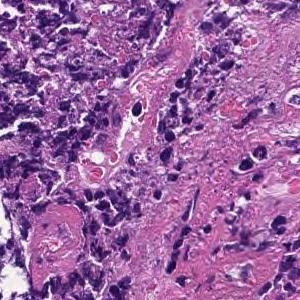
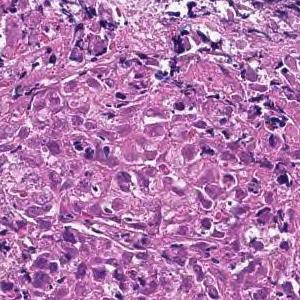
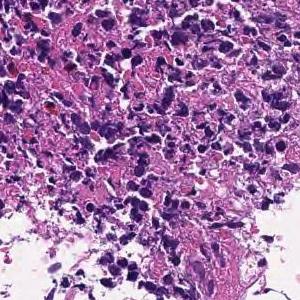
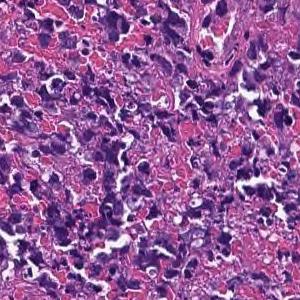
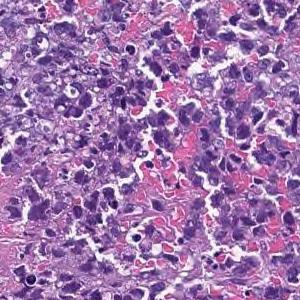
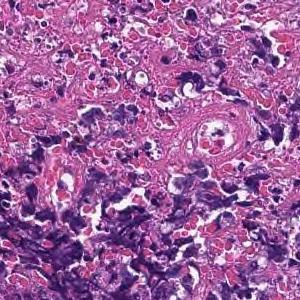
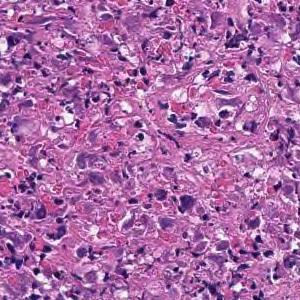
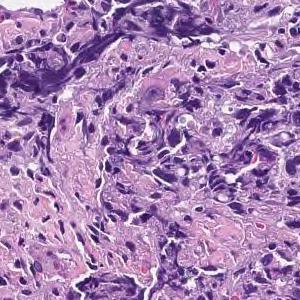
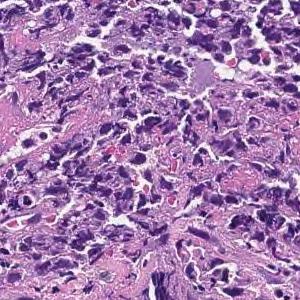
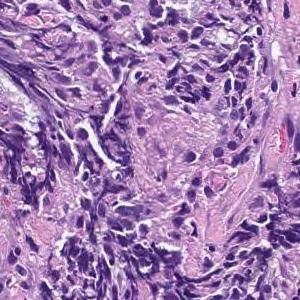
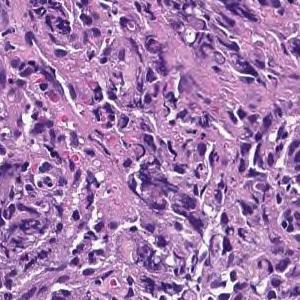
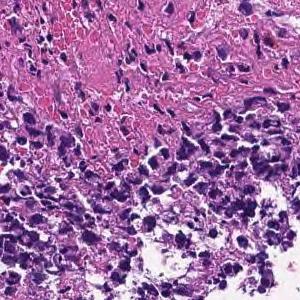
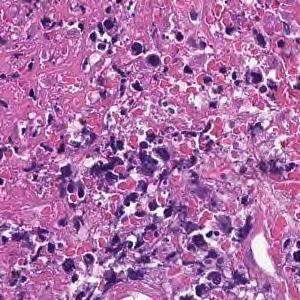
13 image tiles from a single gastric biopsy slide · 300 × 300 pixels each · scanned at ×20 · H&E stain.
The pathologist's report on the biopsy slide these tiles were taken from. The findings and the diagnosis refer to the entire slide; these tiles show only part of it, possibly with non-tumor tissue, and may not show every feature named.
Most are composed of coagulative necrotic tissue, but some show a large sheet-like shape, and some show tumor tissue infiltrating with a small cord-like structure. Poorly differentiated adenocarcinoma, solid-type
Histological subtype: Poorly differentiated adenocarcinoma, solid type, a category of the Japanese Classification of Gastric Carcinoma; in the WHO 2019 classification it is tubular adenocarcinoma, poorly differentiated.
